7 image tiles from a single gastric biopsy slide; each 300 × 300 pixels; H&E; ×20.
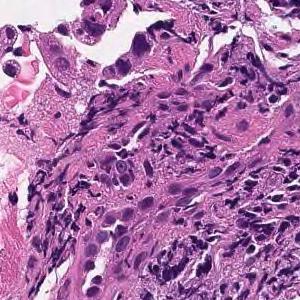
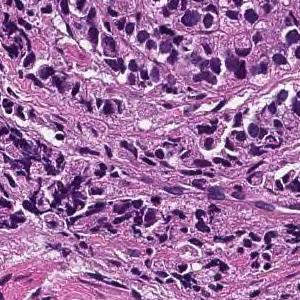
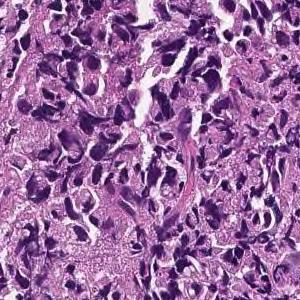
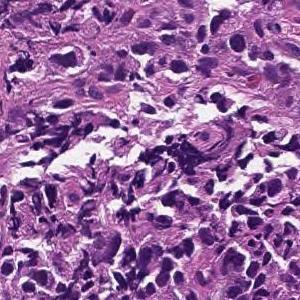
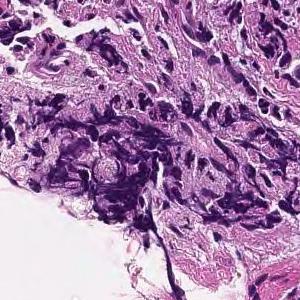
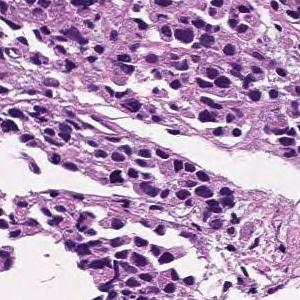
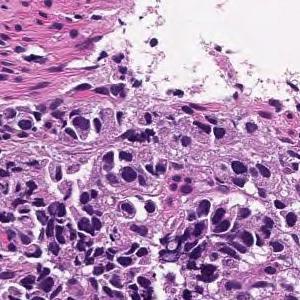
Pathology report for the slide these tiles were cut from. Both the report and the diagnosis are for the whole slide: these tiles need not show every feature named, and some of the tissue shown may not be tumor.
The lamina propria shows small cord-like tumor tissue that infiltrates with fibrosis and marked chronic inflammatory cell infiltration. Poorly differentiated adenocarcinoma, non-solid type
The term "non-solid type" comes from the Japanese Classification of Gastric Carcinoma.
